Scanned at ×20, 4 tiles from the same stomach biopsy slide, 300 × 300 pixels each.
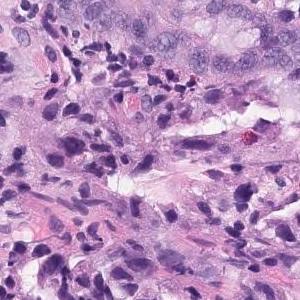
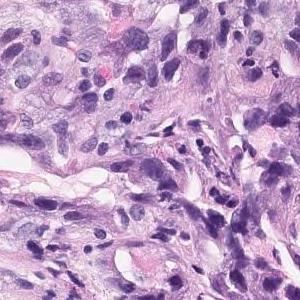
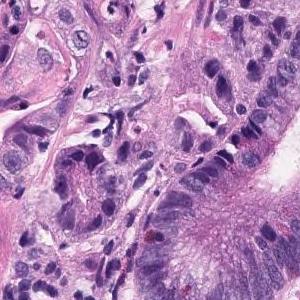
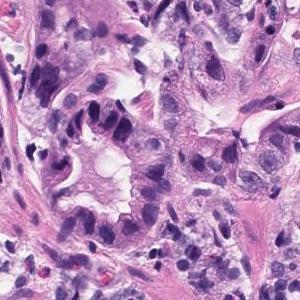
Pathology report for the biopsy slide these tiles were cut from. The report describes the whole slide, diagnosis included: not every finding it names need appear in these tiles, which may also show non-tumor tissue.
In the superficial epithelium, tumor tissue that invades by forming medium-sized to small irregular glandular ducts is observed. Moderately differentiated adenocarcinoma.
Histologic type: Moderately differentiated tubular adenocarcinoma.
